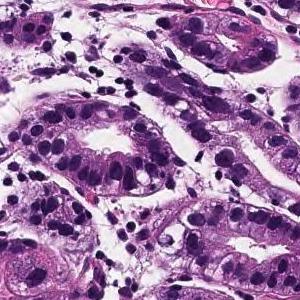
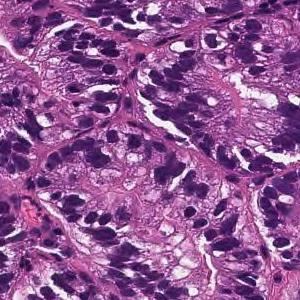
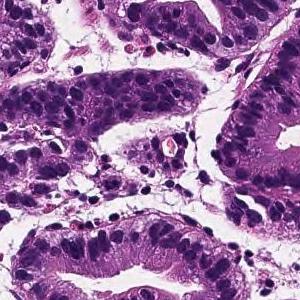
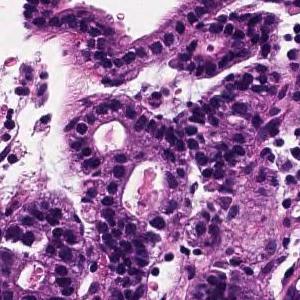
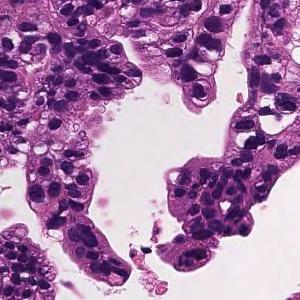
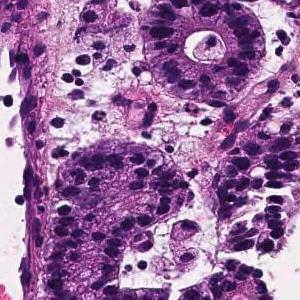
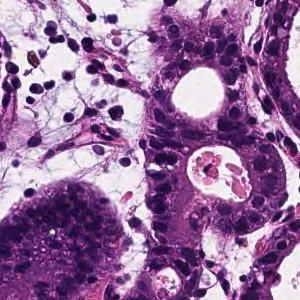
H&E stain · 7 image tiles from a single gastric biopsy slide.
Report on the slide these tiles come from. What the report and the diagnosis say applies to the whole slide; these tiles may miss some of the features named and may include tissue that is not tumor.
From the superficial epithelium to the muscularis mucosae, tumor tissue consisting of medium-sized and irregular glandular ducts infiltrating is observed. Well differentiated tubular adenocarcinoma
